H&E · 20× magnification · 13 image tiles from a single gastric biopsy slide.
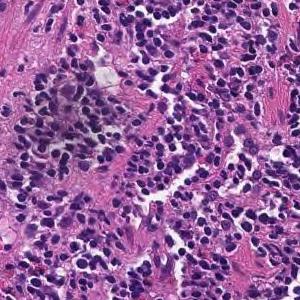
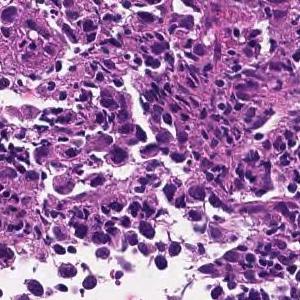
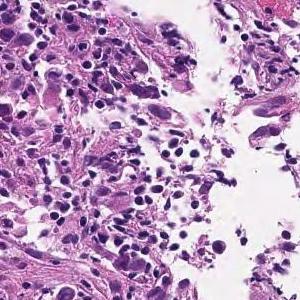
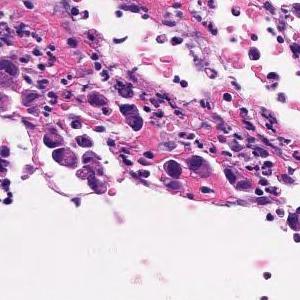
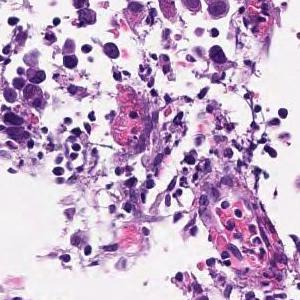
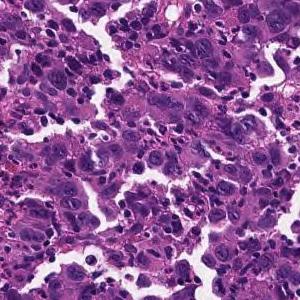
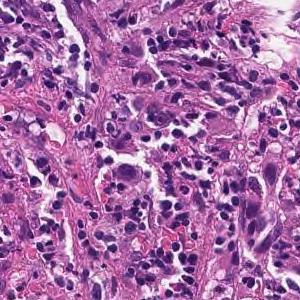
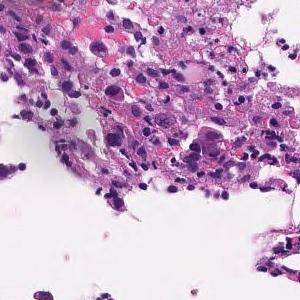
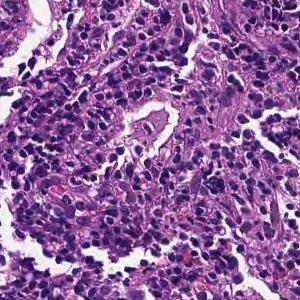
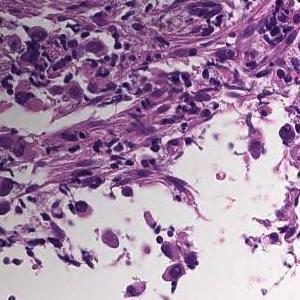
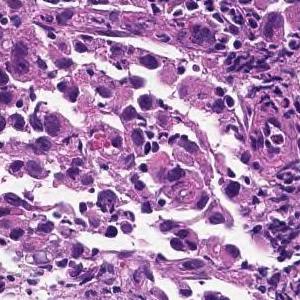
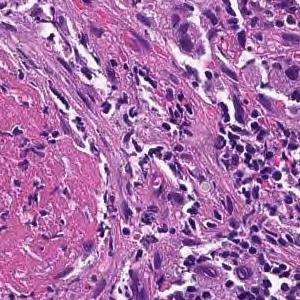
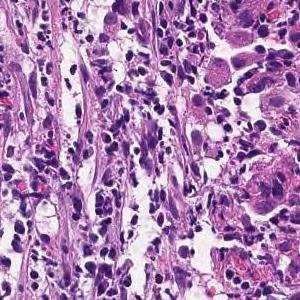
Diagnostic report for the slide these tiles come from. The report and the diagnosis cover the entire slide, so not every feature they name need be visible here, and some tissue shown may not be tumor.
The superficial epithelium shows a large sheet-like shape, and some tumor tissue infiltrates with small irregular ducts. Poorly differentiated adenocarcinoma, solid-type (poorly differentiated adenocarcinoma, solid type)
Histological subtype: Poorly differentiated adenocarcinoma, solid type (Japanese Classification of Gastric Carcinoma). The WHO 2019 equivalent is tubular adenocarcinoma, poorly differentiated.
